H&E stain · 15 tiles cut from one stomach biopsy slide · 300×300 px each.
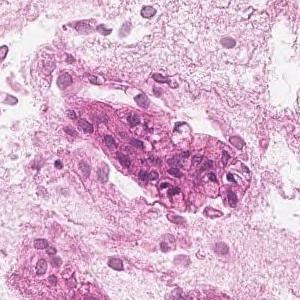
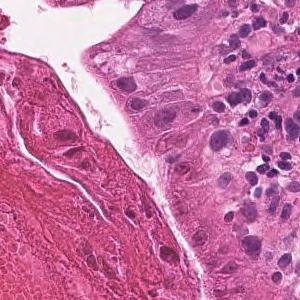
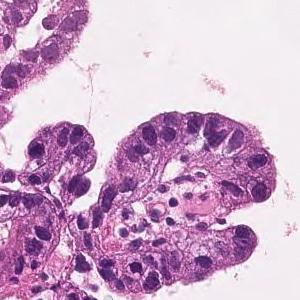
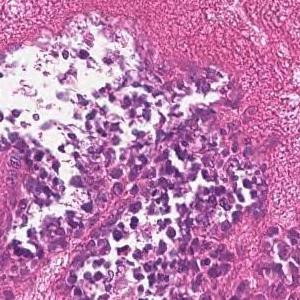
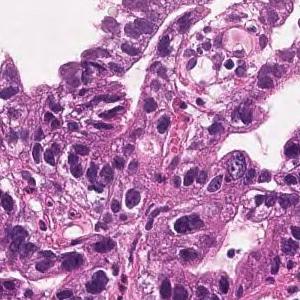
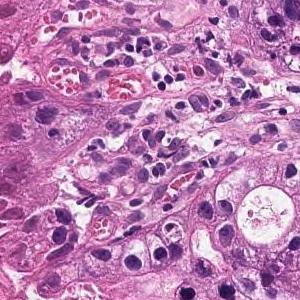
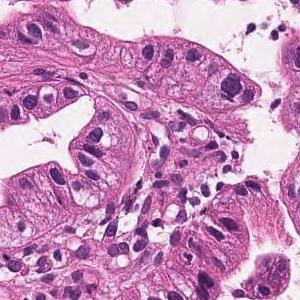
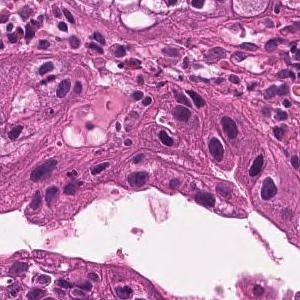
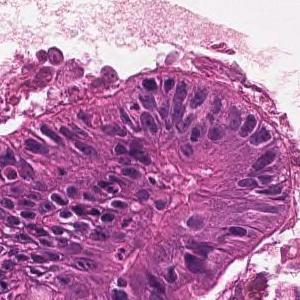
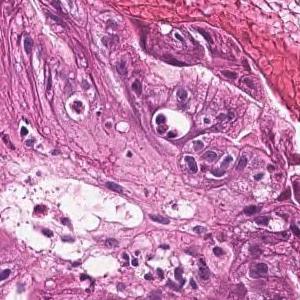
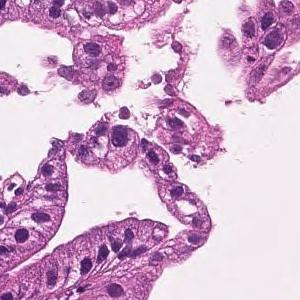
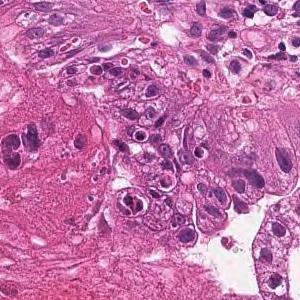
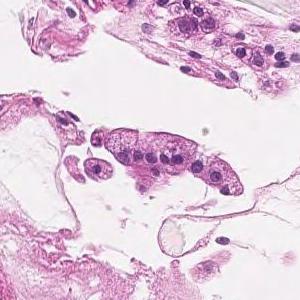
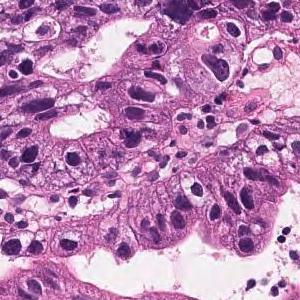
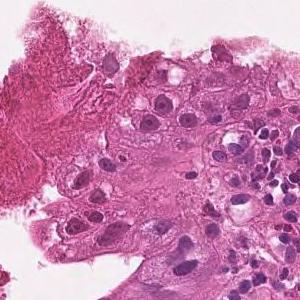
Report on the slide these tiles come from. What the report and the diagnosis say applies to the whole slide; these tiles may miss some of the features named and may include tissue that is not tumor.
Tumor cells are large, highly columnar, large club-shaped nuclei, and are associated with chromatin aggregation. Papillary adenocarcinoma.
